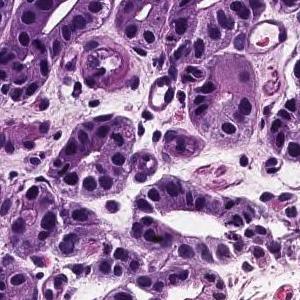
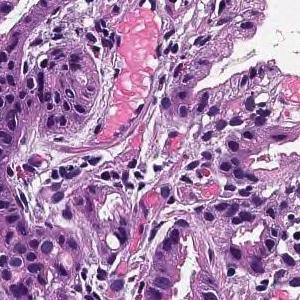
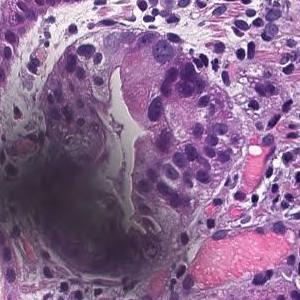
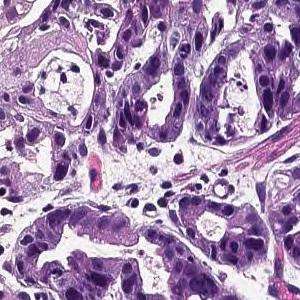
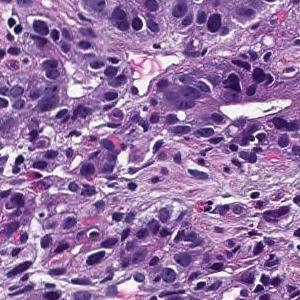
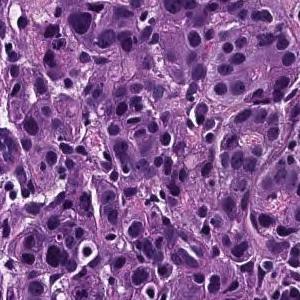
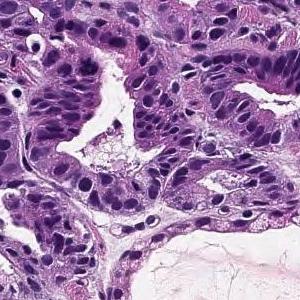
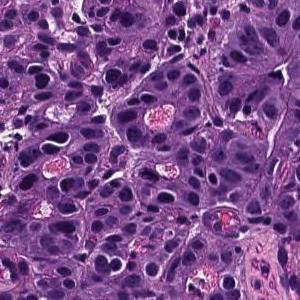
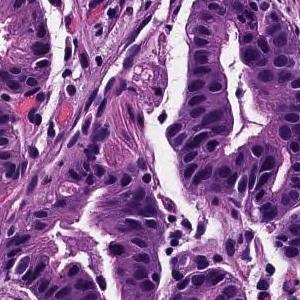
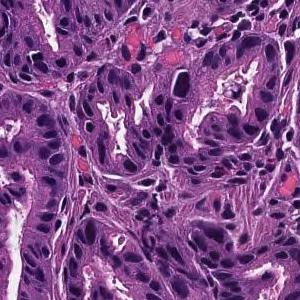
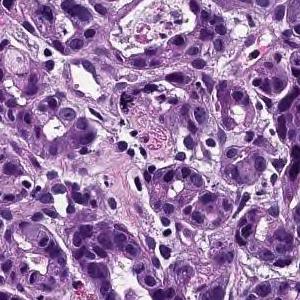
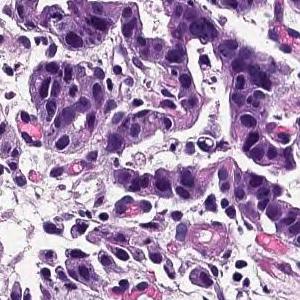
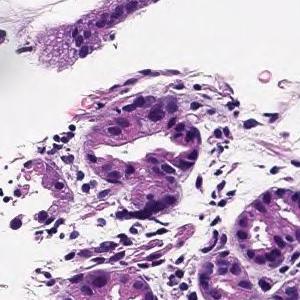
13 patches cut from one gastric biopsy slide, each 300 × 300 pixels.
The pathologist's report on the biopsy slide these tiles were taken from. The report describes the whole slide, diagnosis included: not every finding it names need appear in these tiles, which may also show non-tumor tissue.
From the superficial epithelium to the muscularis mucosae, tumor tissue consisting of medium-sized and irregular glandular ducts infiltrating is observed. Well differentiated tubular adenocarcinoma
